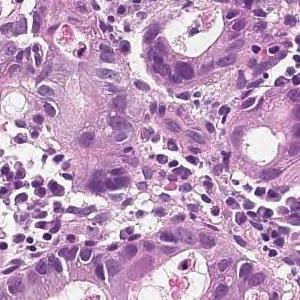
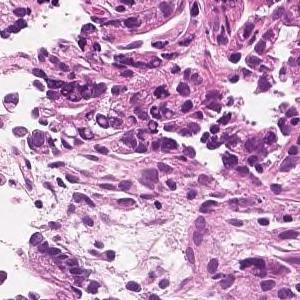
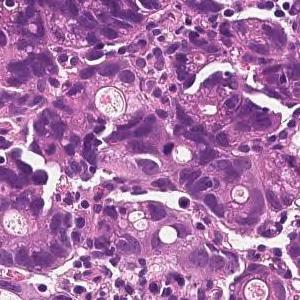
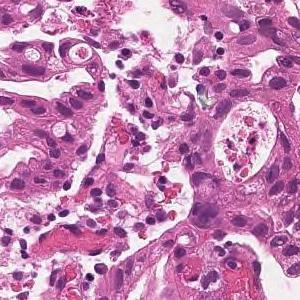
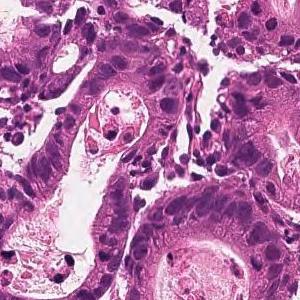
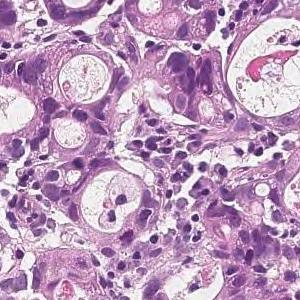
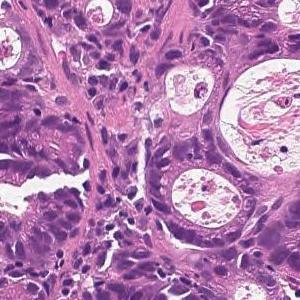
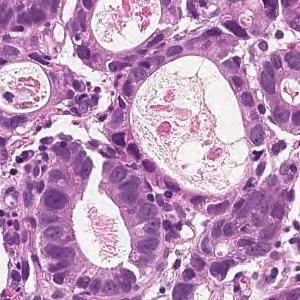
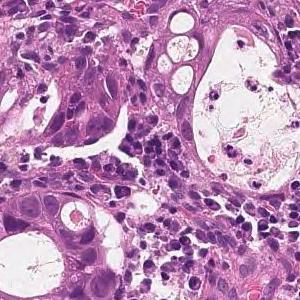
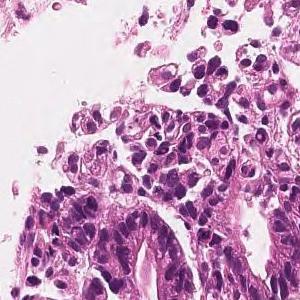
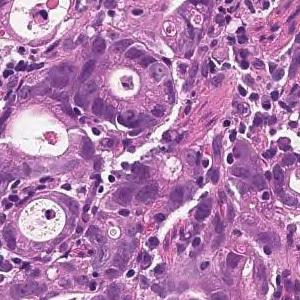
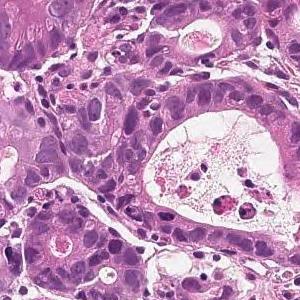
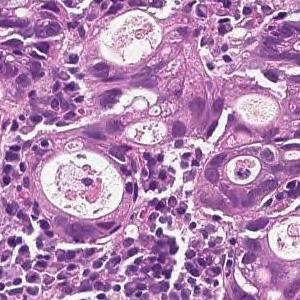
H&E stain, ×20, 13 tiles from the same stomach biopsy slide, each 300 × 300 pixels.
Report on the slide these tiles come from. The report describes the whole slide, diagnosis included: not every finding it names need appear in these tiles, which may also show non-tumor tissue.
On the superficial epithelium, tumor tissue is found in which medium-sized irregular gland ducts fuse with each other and infiltrate. moderately differentiated tubular adenocarcinoma
